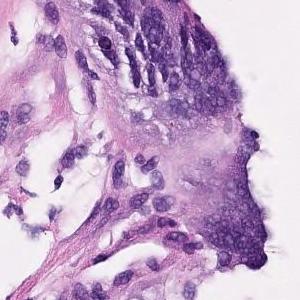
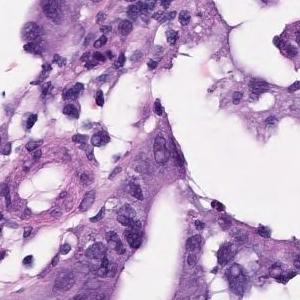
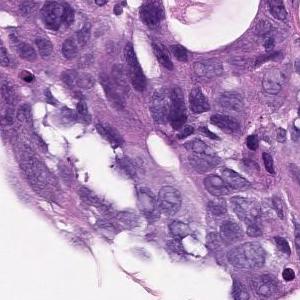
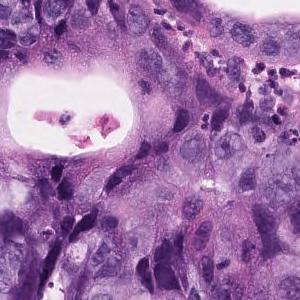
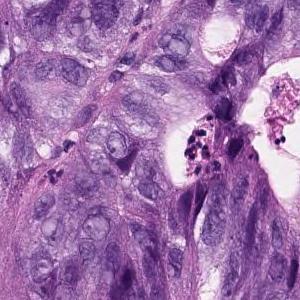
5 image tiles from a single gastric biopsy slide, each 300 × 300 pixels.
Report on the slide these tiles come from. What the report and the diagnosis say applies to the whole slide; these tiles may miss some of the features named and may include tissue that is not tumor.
In the superficial epithelium, tumor tissue that invades by forming medium-sized to small, irregular ducts is observed. Moderately differentiated adenocarcinoma.
Subtype: Moderately differentiated tubular adenocarcinoma.
